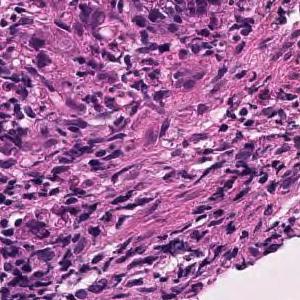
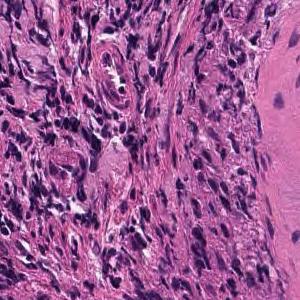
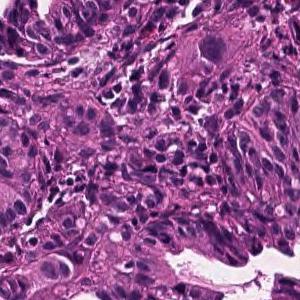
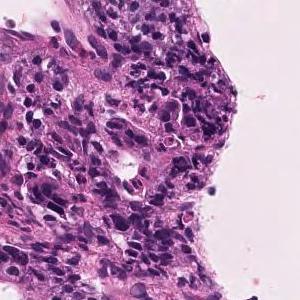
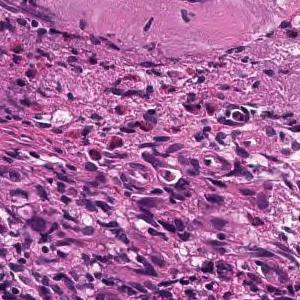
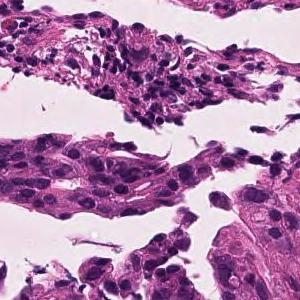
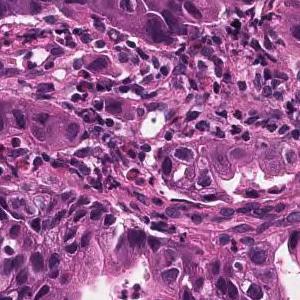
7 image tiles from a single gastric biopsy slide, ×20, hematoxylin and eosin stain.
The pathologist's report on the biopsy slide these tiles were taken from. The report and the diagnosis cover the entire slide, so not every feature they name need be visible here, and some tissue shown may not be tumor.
Tumor tissue consisting of medium-sized, cord-like or irregular glandular infiltration is observed in the superficial epithelium. Poorly differentiated adenocarcinoma, non-solid type or moderately differentiated tubular adenocarcinoma
The non-solid type named here is a Japanese Classification of Gastric Carcinoma category.
